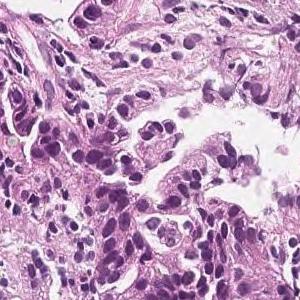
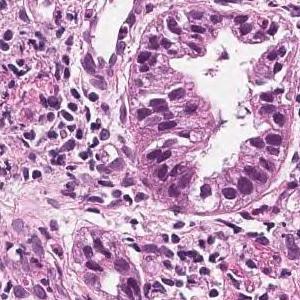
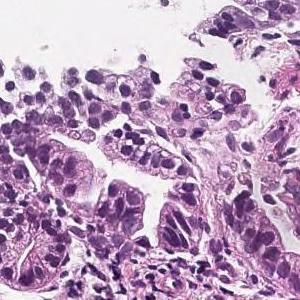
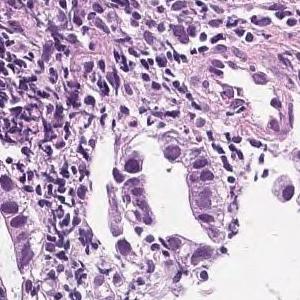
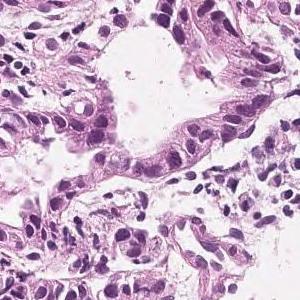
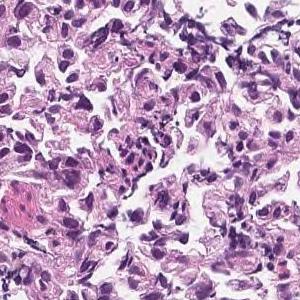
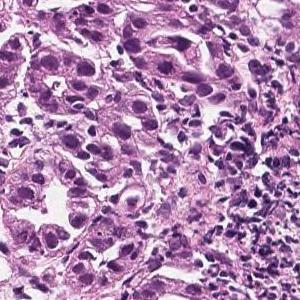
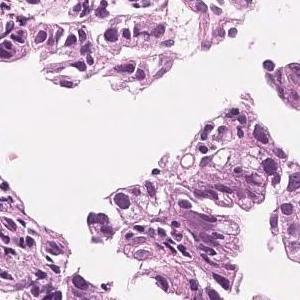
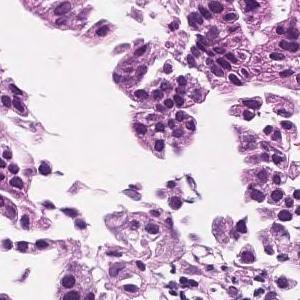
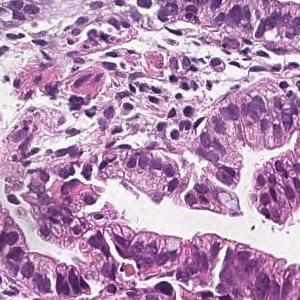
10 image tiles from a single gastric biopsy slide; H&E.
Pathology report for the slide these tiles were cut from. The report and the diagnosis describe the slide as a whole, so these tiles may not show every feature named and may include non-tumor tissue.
In the superficial epithelium, tumor tissue that invades by forming medium-sized to small, irregular ducts is observed. moderately differentiated tubular adenocarcinoma.
